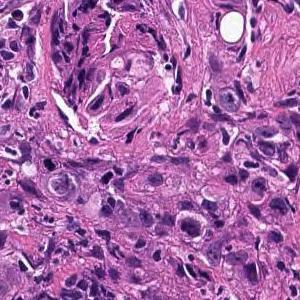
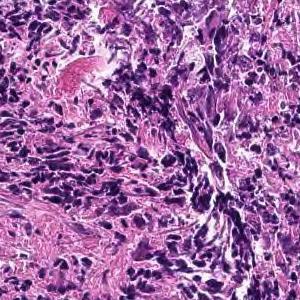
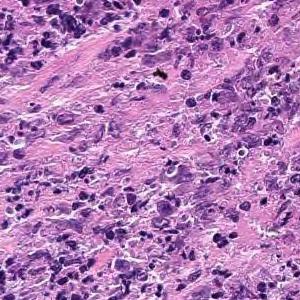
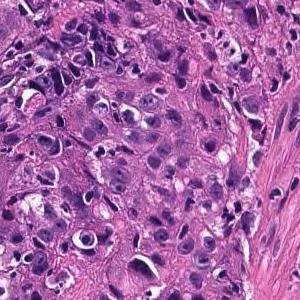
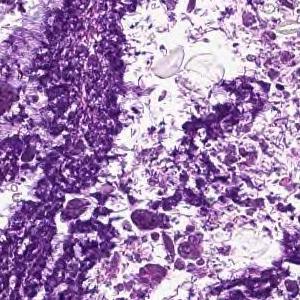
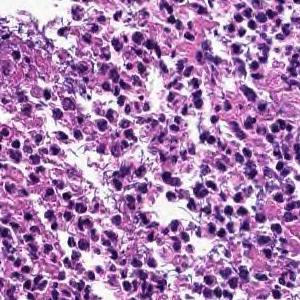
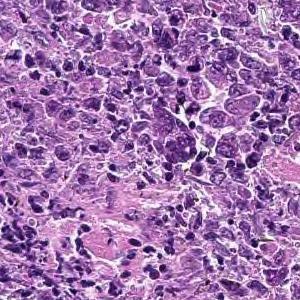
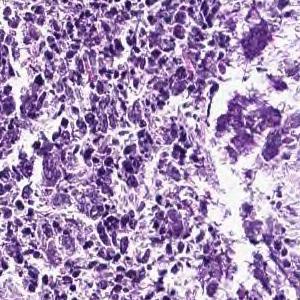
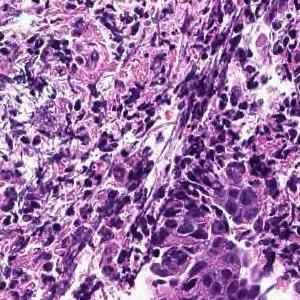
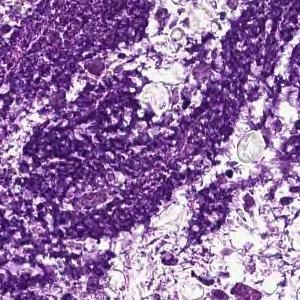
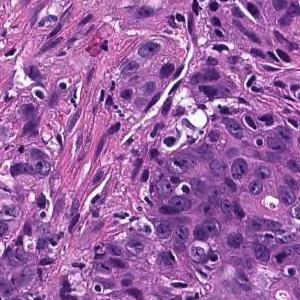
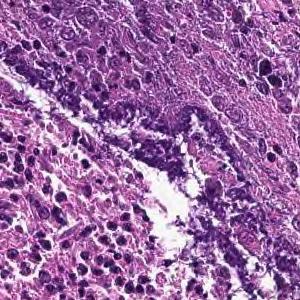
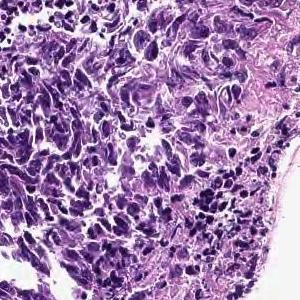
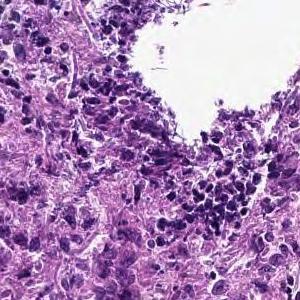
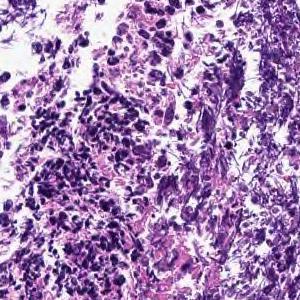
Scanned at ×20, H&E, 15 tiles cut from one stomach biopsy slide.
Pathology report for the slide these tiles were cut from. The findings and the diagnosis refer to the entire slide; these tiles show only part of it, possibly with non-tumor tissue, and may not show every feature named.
Cancers with polygonal nuclei do not show glandular formation and are densely, in part, cord-like and proliferate. Poorly differentiated adenocarcinoma
Tumor subtype: poorly differentiated adenocarcinoma, non-solid type.
The term "non-solid type" comes from the Japanese Classification of Gastric Carcinoma.
